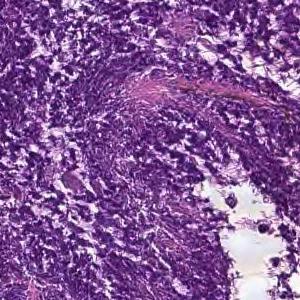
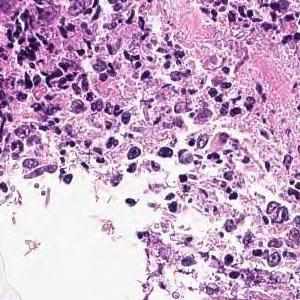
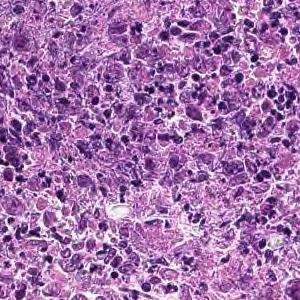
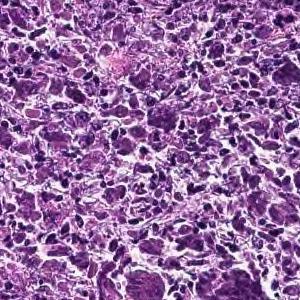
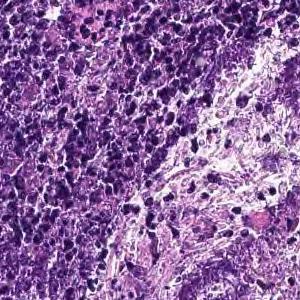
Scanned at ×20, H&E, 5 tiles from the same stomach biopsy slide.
Report on the slide these tiles come from. The report describes the whole slide, diagnosis included: not every finding it names need appear in these tiles, which may also show non-tumor tissue.
Cancers with polygonal nuclei do not show glandular formation and are densely, in part, cord-like and proliferate. Poorly differentiated adenocarcinoma
Histological subtype: Poorly differentiated adenocarcinoma, non-solid type.
The term "non-solid type" comes from the Japanese Classification of Gastric Carcinoma.
